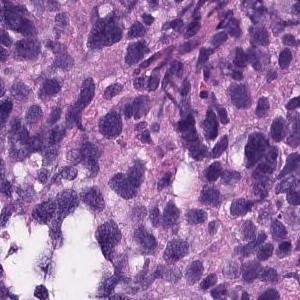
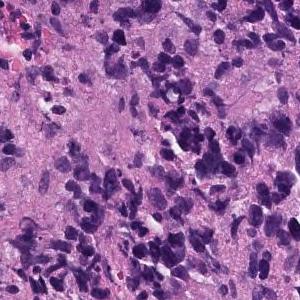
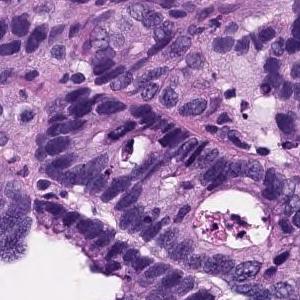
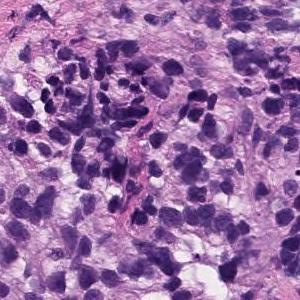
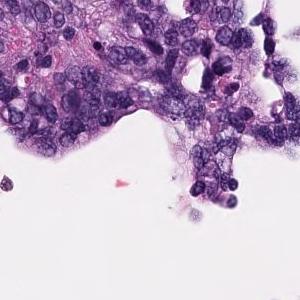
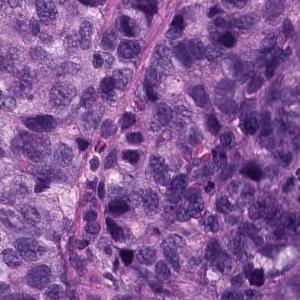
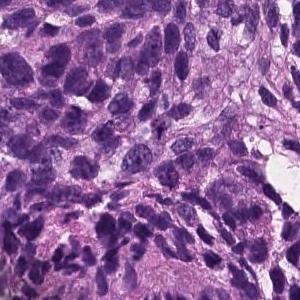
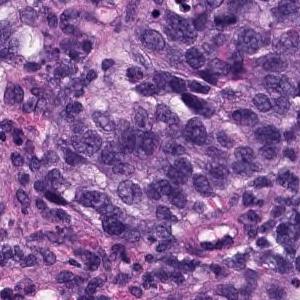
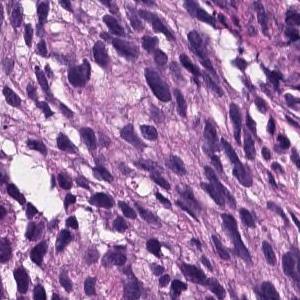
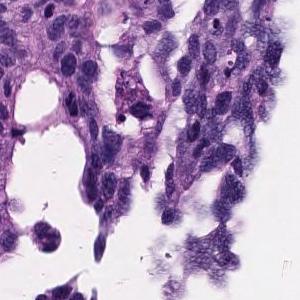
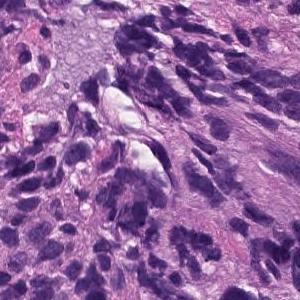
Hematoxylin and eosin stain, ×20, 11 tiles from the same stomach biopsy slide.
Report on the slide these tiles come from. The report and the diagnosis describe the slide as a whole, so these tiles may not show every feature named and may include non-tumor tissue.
Atypical l cells with atypical nuclei under the mucosa growing in isolation and scattered. Poorly differentiated adenocarcinoma (poorly differentiated adenocarcinoma, non-solid type)
Histologic type: Poorly differentiated adenocarcinoma, non-solid type.
The non-solid type named here is a Japanese Classification of Gastric Carcinoma category.
